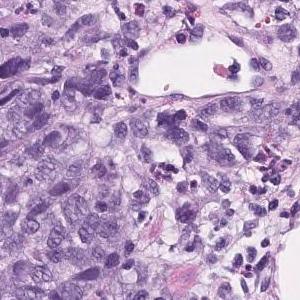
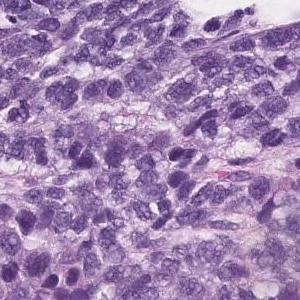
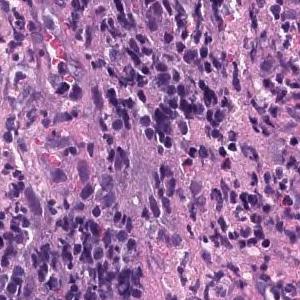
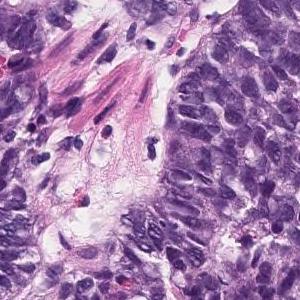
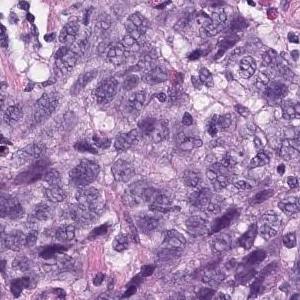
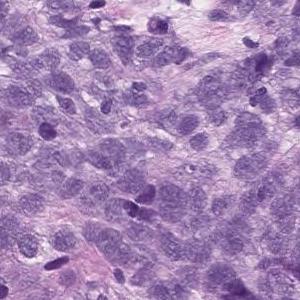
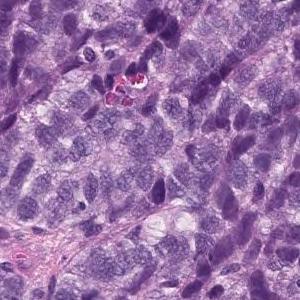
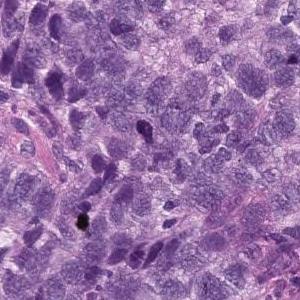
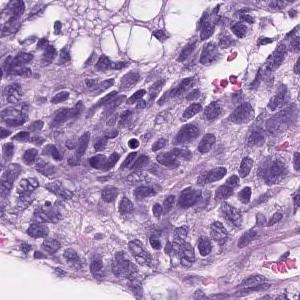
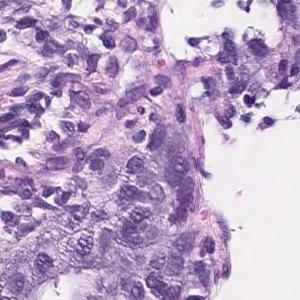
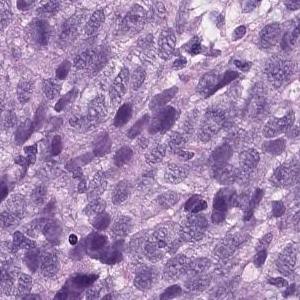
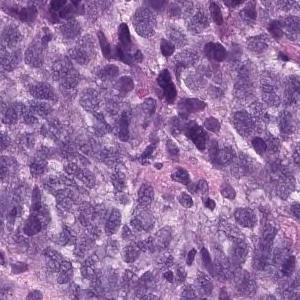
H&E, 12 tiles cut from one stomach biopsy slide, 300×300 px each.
Diagnostic report for the slide these tiles come from. The report and the diagnosis cover the entire slide, so not every feature they name need be visible here, and some tissue shown may not be tumor.
Epithelial cells with swollen nuclei with atypia invasively proliferating while forming vesicles is observed. Poorly differentiated adenocarcinoma
Classified as poorly differentiated adenocarcinoma, solid type (Japanese Classification of Gastric Carcinoma). The WHO 2019 equivalent is tubular adenocarcinoma, poorly differentiated.
